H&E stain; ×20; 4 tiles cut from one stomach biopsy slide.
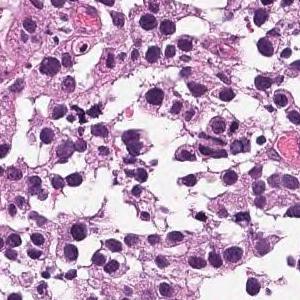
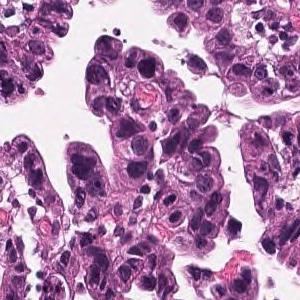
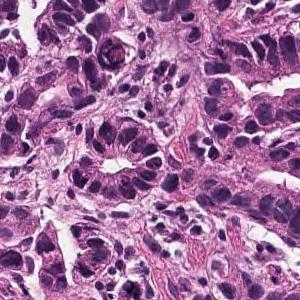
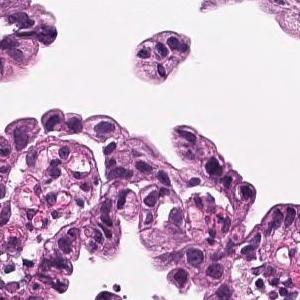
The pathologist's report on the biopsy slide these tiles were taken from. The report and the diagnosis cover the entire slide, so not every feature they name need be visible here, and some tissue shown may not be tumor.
Medium to small, irregular glandular ducts are formed in the superficial epithelium, and in some cases, the glandular ducts are fused to show solid alveolar lesions and infiltrating tumor tissue is observed. Moderately to poorly differentiated adenocarcinoma.
